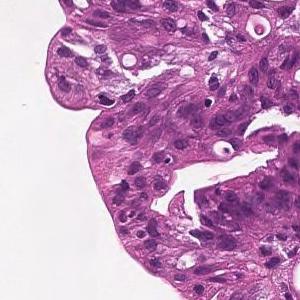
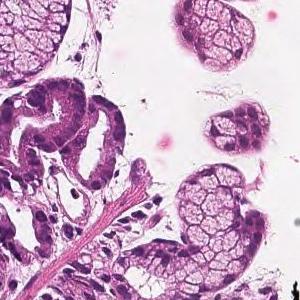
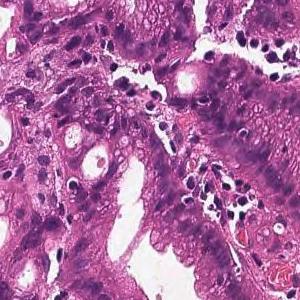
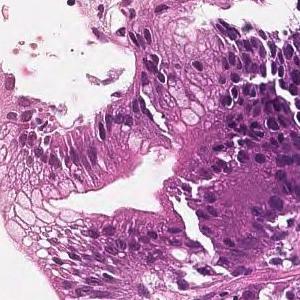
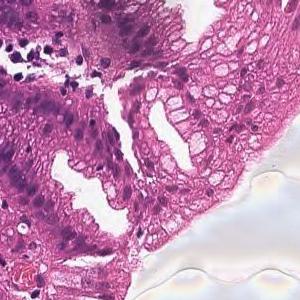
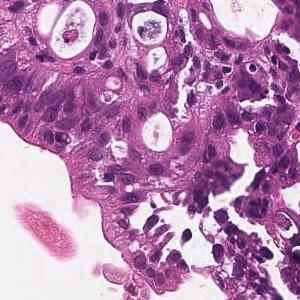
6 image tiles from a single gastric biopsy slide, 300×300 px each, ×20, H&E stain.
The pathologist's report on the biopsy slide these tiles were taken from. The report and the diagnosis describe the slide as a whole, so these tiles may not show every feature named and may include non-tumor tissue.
In the superficial epithelium, tumor tissue that invades by forming medium-sized to small, irregular ducts is observed. moderately differentiated tubular adenocarcinoma.
